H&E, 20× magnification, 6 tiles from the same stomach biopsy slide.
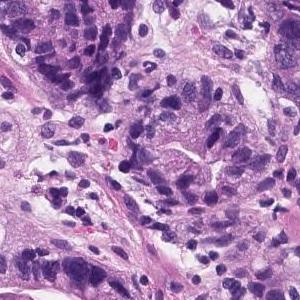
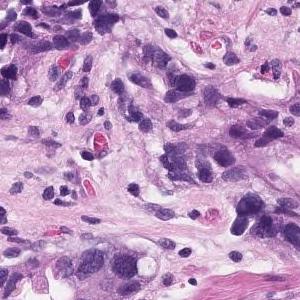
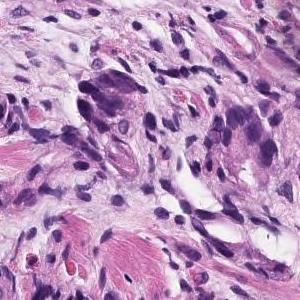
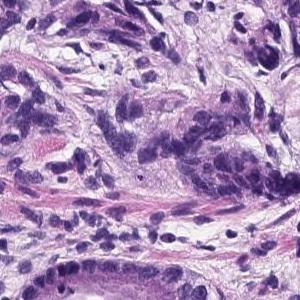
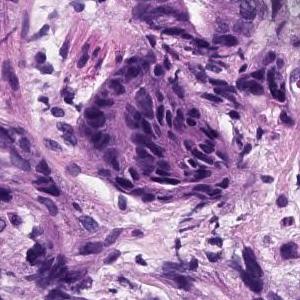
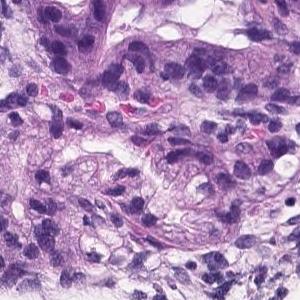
Pathology report for the biopsy slide these tiles were cut from. The findings and the diagnosis refer to the entire slide; these tiles show only part of it, possibly with non-tumor tissue, and may not show every feature named.
In the superficial epithelium, tumor tissue that invades by forming medium-sized to small, irregular ducts is observed. Moderately differentiated adenocarcinoma.
Histologic type: Moderately differentiated tubular adenocarcinoma.
